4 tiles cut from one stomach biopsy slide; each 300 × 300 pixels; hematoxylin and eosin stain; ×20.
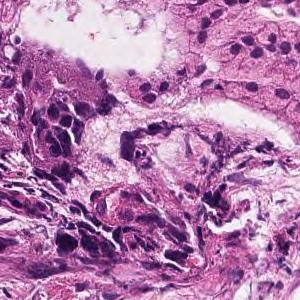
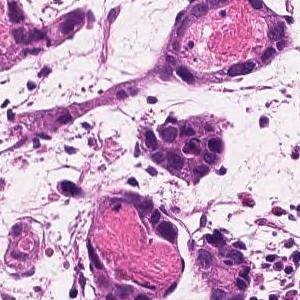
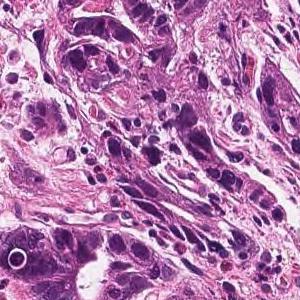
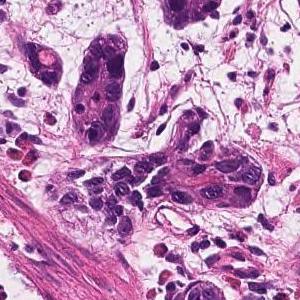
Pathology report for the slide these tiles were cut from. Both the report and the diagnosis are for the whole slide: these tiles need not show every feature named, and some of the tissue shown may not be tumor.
In the superficial epithelium, tumor tissue that invades by forming medium-sized to small, irregular ducts is observed. Well differentiated tubular adenocarcinoma.
